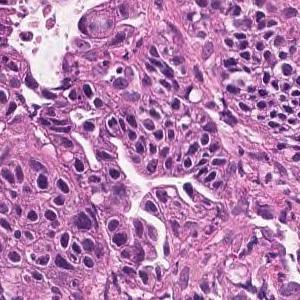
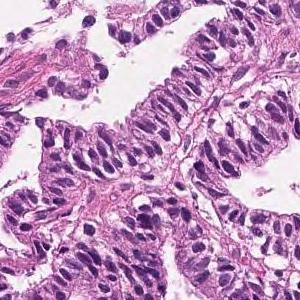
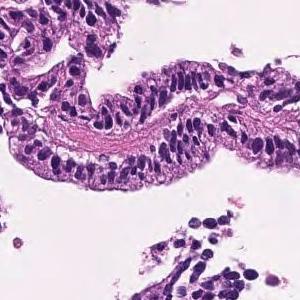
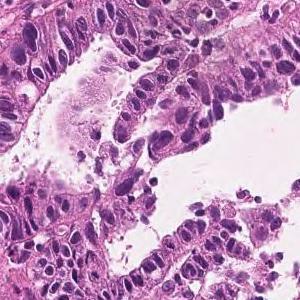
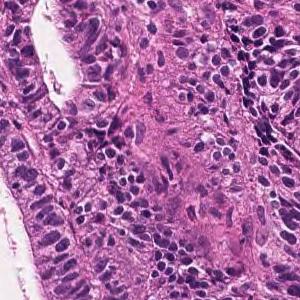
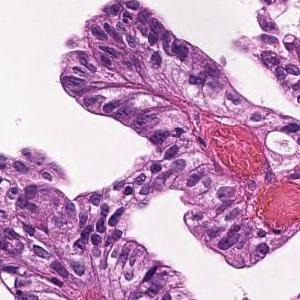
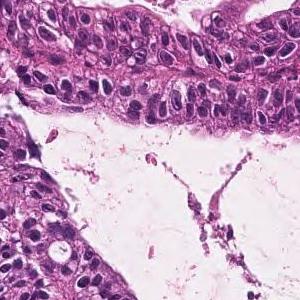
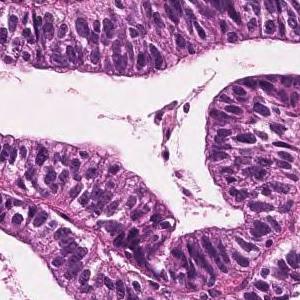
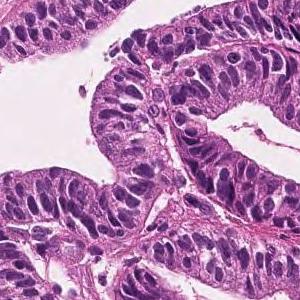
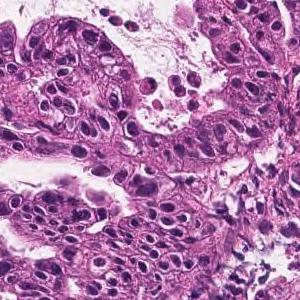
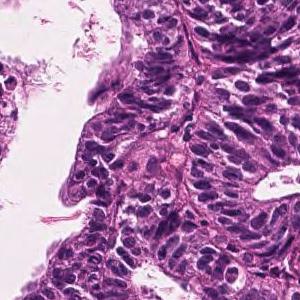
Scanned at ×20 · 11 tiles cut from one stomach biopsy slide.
Pathology report for the biopsy slide these tiles were cut from. The report and the diagnosis cover the entire slide, so not every feature they name need be visible here, and some tissue shown may not be tumor.
Tumor cells are large, highly columnar, large club-shaped nuclei, and are associated with chromatin aggregation. Papillary adenocarcinoma.
